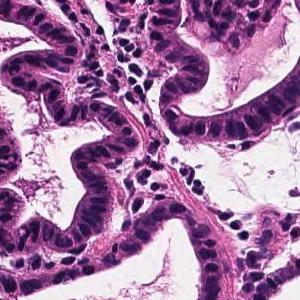
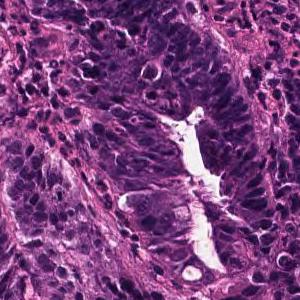
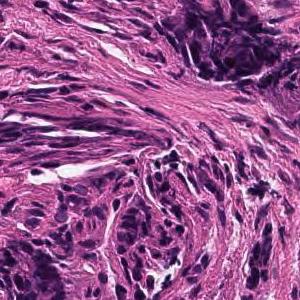
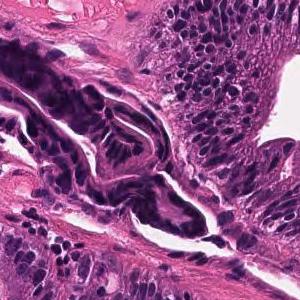
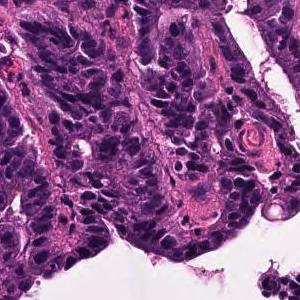
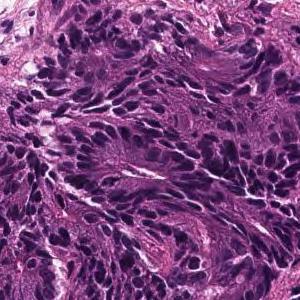
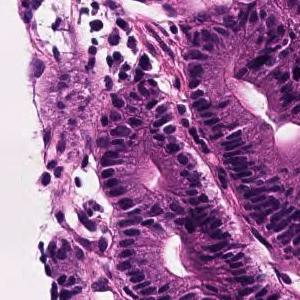
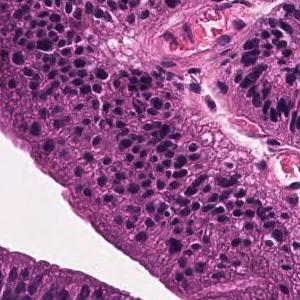
8 tiles from the same stomach biopsy slide; hematoxylin and eosin stain; 20× magnification.
Diagnostic report for the slide these tiles come from. The report describes the whole slide, diagnosis included: not every finding it names need appear in these tiles, which may also show non-tumor tissue.
Tumor tissue that remains within the superficial epithelium and is infiltrated by large papillary or irregular ducts that fuse with each other is observed. Well differentiated tubular adenocarcinoma
